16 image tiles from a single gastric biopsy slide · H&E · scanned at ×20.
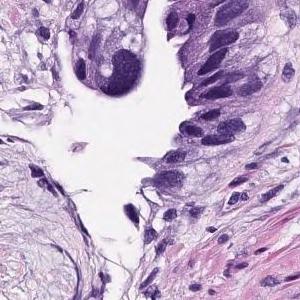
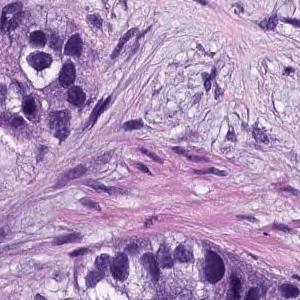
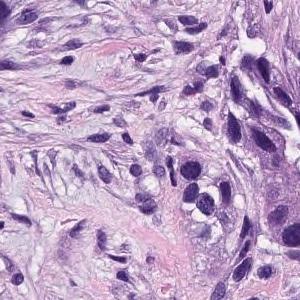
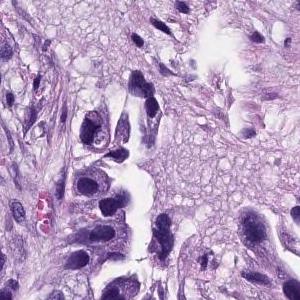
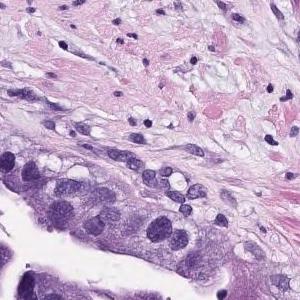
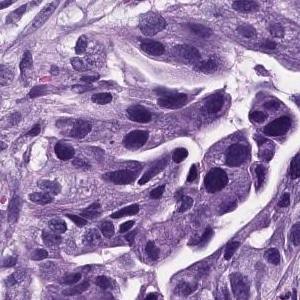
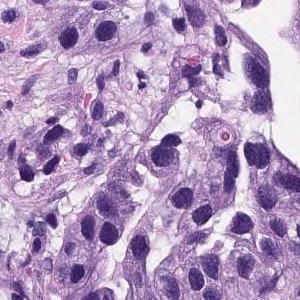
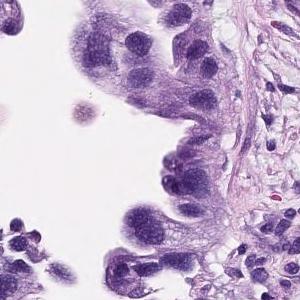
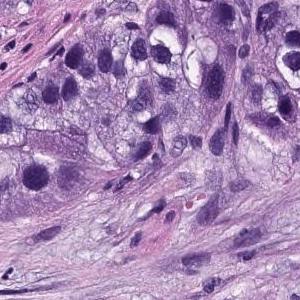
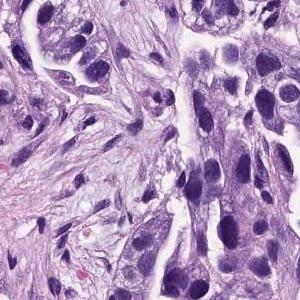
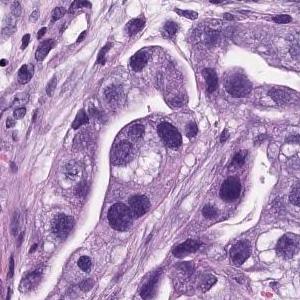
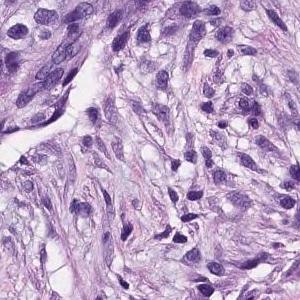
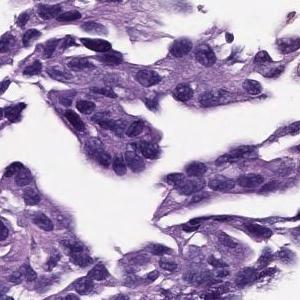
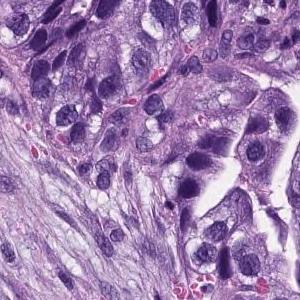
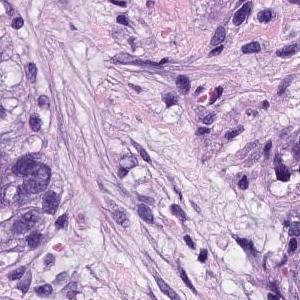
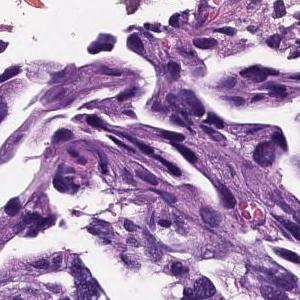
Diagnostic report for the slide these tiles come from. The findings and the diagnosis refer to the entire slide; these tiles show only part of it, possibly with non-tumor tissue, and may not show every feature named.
gastric mucosal tissue with atypical glandular proliferation arranged in tubules and acini. The tumor cells showed hyperchromatic nuclei, high N/C ratio and loss of polarity. Tubular adenocarcinoma of stomach, moderately differentiated.
Histologic type: Moderately differentiated tubular adenocarcinoma.
